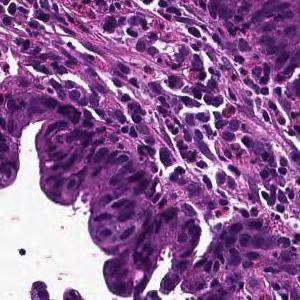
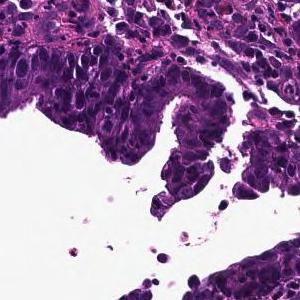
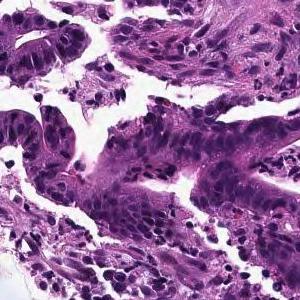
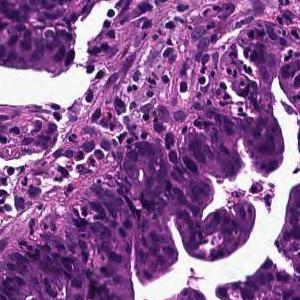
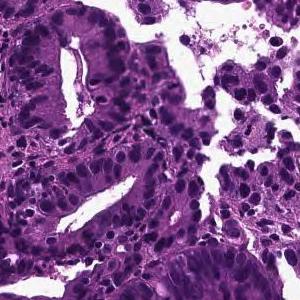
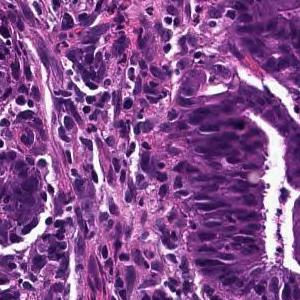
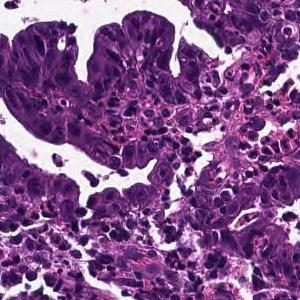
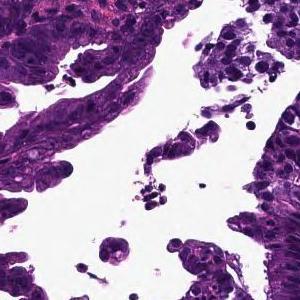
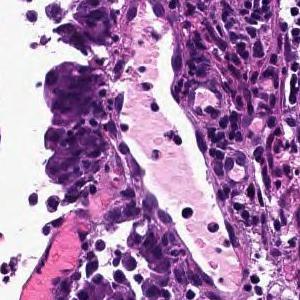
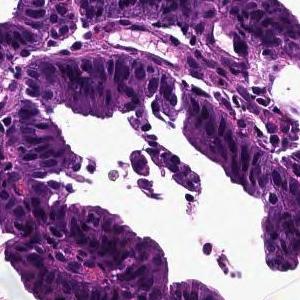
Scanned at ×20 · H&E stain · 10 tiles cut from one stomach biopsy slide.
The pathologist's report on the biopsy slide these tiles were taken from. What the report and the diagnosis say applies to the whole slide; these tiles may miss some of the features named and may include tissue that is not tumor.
Tumor cells are large, highly columnar, large club-shaped nuclei, and are associated with chromatin aggregation. Papillary adenocarcinoma.
